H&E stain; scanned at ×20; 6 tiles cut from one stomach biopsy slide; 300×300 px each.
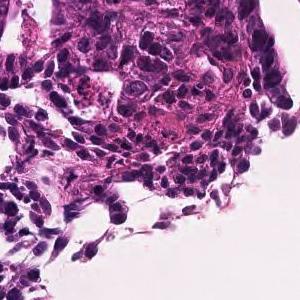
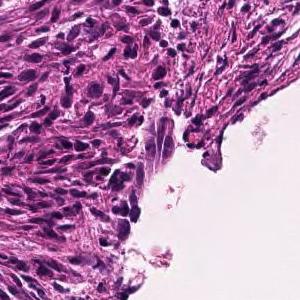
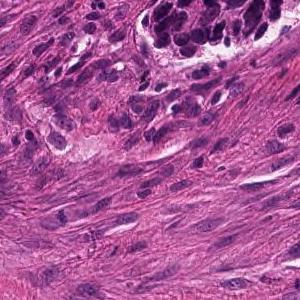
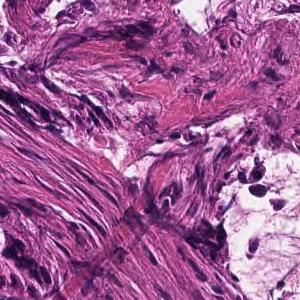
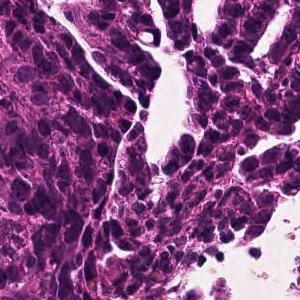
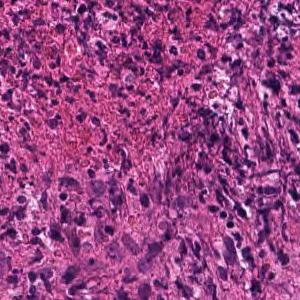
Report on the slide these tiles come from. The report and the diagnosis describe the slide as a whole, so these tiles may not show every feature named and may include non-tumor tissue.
In the superficial epithelium, tumor tissue that invades by forming medium-sized to small, irregular ducts is observed. moderately differentiated tubular adenocarcinoma.
